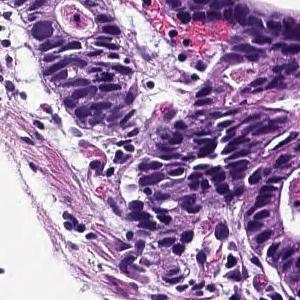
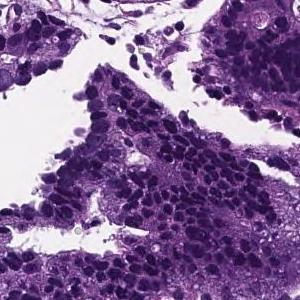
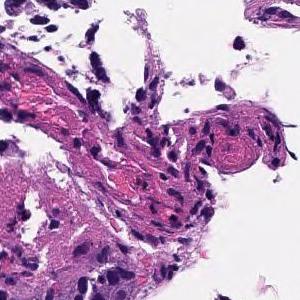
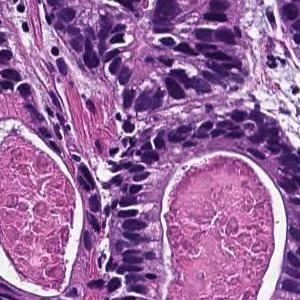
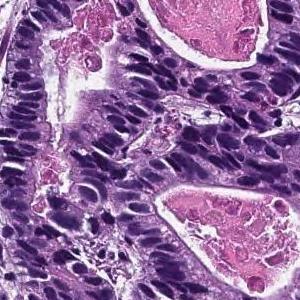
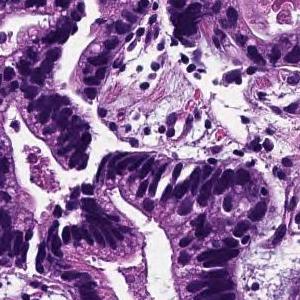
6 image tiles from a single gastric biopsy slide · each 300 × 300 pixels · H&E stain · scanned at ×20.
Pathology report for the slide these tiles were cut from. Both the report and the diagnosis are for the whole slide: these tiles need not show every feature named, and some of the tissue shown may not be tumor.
From the superficial epithelium to the muscularis mucosae, tumor tissue consisting of medium-sized and irregular glandular ducts infiltrating is observed. Well differentiated tubular adenocarcinoma
